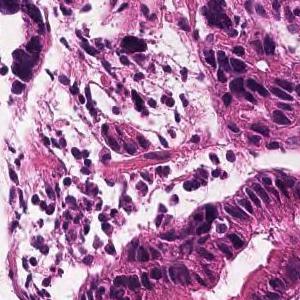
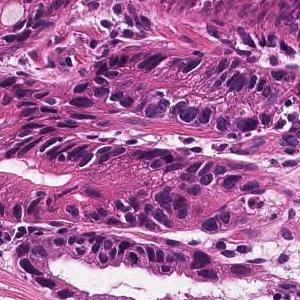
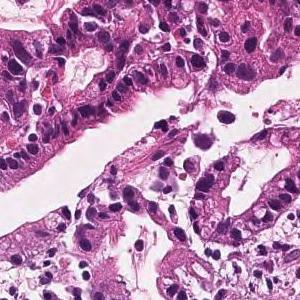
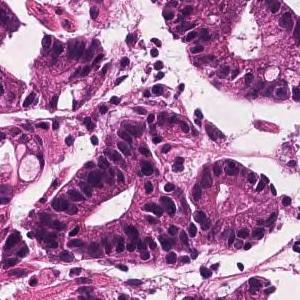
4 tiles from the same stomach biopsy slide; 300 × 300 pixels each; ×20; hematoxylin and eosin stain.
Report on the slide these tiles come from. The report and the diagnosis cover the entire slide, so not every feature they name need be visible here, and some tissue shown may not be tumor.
In the superficial epithelium, tumor tissue that invades by forming medium-sized to small, irregular ducts is observed. moderately differentiated tubular adenocarcinoma.
